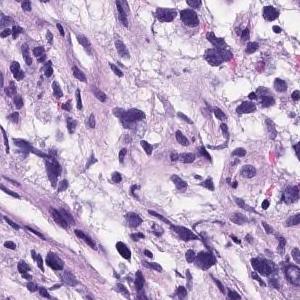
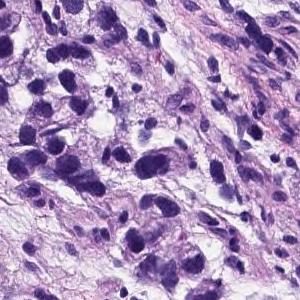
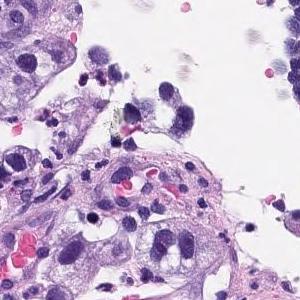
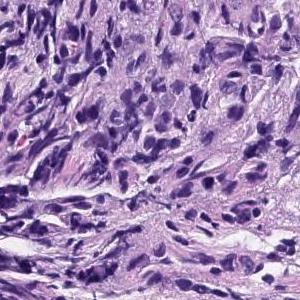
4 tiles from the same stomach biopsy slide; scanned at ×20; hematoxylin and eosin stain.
Pathology report for the biopsy slide these tiles were cut from. The report and the diagnosis cover the entire slide, so not every feature they name need be visible here, and some tissue shown may not be tumor.
Medium to small, irregular glandular ducts are formed in the superficial epithelium, and in some cases, the glandular ducts are fused to show solid alveolar lesions and infiltrating tumor tissue is observed. Poorly differentiated adenocarcinoma, Moderately differentiated adenocarcinoma.
Dataset label: moderately differentiated tubular adenocarcinoma.
